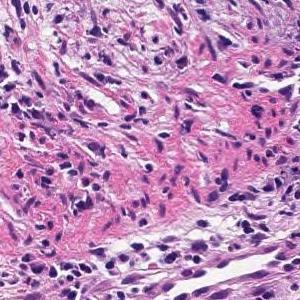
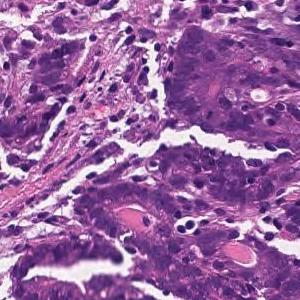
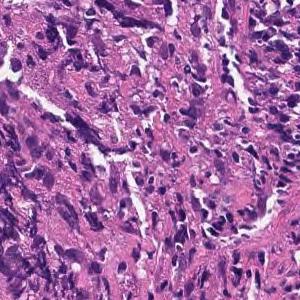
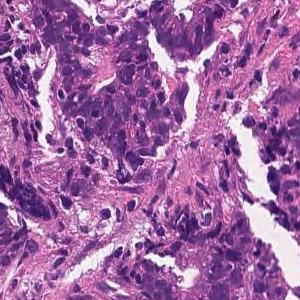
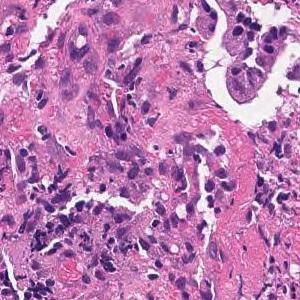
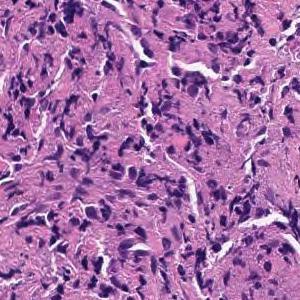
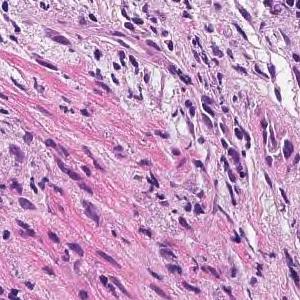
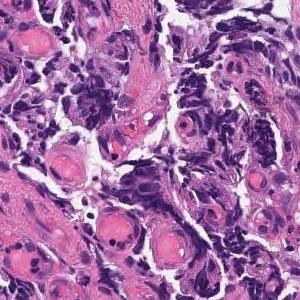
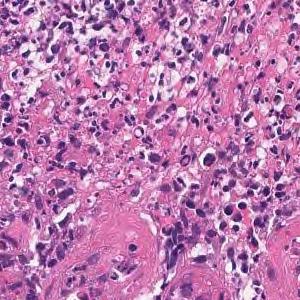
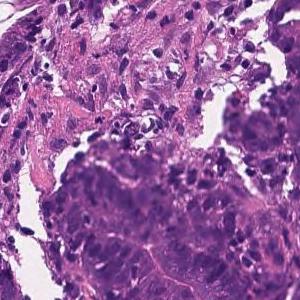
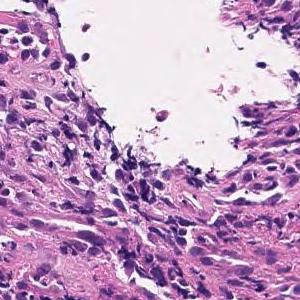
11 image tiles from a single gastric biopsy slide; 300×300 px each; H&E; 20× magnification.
Pathology report for the slide these tiles were cut from. The report and the diagnosis cover the entire slide, so not every feature they name need be visible here, and some tissue shown may not be tumor.
Tumor tissue consisting of medium-sized, cord-like or irregular glandular infiltration is observed in the superficial epithelium. Poorly differentiated adenocarcinoma, non-solid type or moderately differentiated tubular adenocarcinoma
Subtype: Moderately to poorly differentiated adenocarcinoma.
"Non-solid type" is a category of the Japanese Classification of Gastric Carcinoma.
